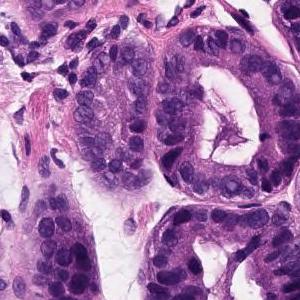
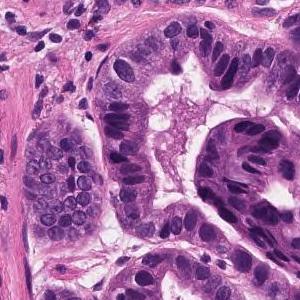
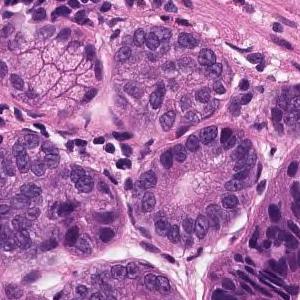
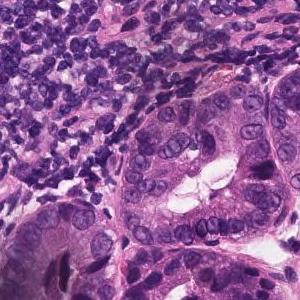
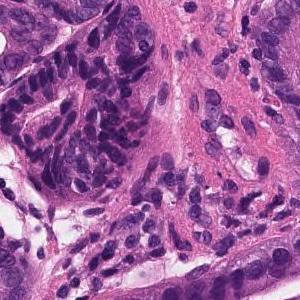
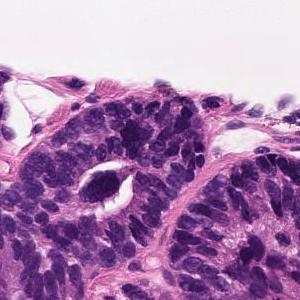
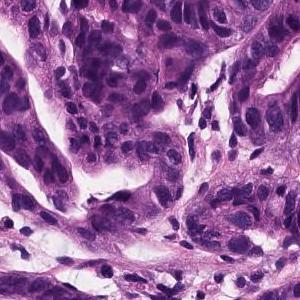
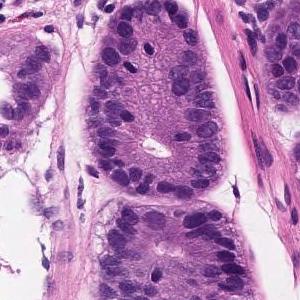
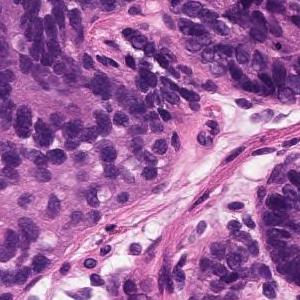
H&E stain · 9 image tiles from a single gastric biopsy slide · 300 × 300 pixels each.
Pathology report for the biopsy slide these tiles were cut from. The report describes the whole slide, diagnosis included: not every finding it names need appear in these tiles, which may also show non-tumor tissue.
Atypical epithelium with tight nuclei shows irregular or sieving duct construction and proliferates. Well to moderately differentiated tubular adenocarcinoma (well differentiated tubular adenocarcinoma-moderately differentiated tubular adenocarcinoma)
Histological subtype: Well to moderately differentiated tubular adenocarcinoma.
